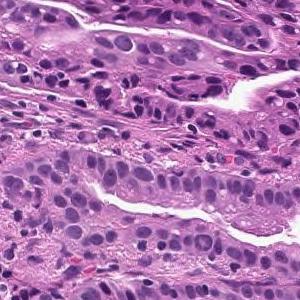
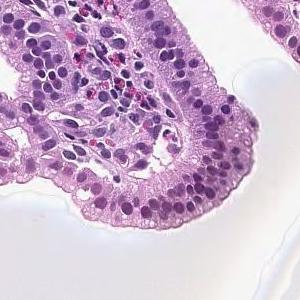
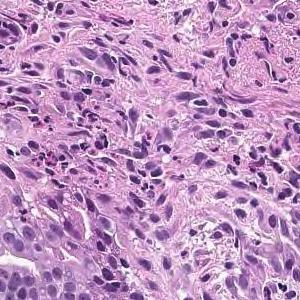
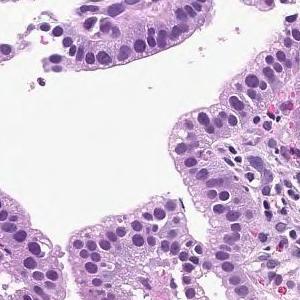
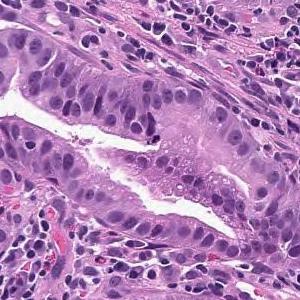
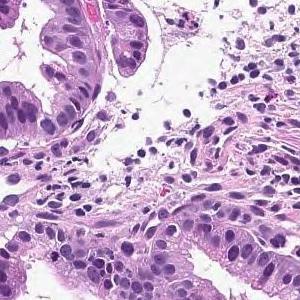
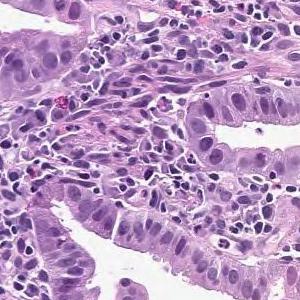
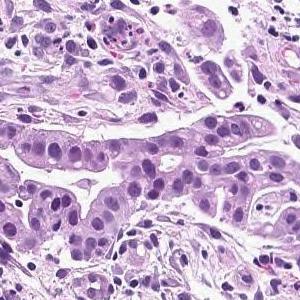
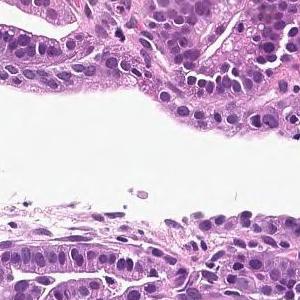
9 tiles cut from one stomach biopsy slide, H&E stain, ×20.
The pathologist's report on the biopsy slide these tiles were taken from. The findings and the diagnosis refer to the entire slide; these tiles show only part of it, possibly with non-tumor tissue, and may not show every feature named.
On the superficial epithelium, tumor tissue that infiltrates by forming medium-sized papillary or small irregular ducts is observed. Papillary adenocarcinoma
